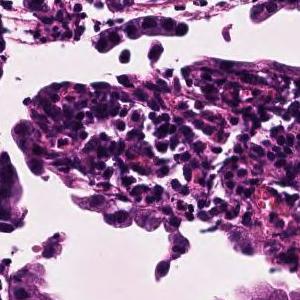
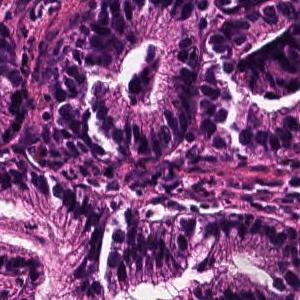
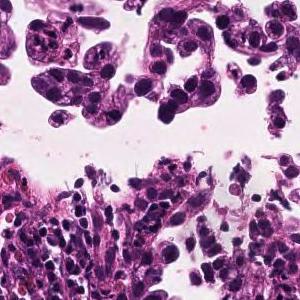
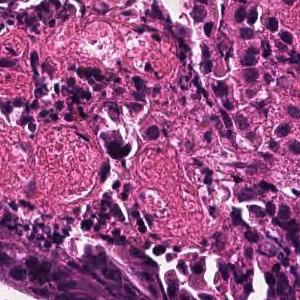
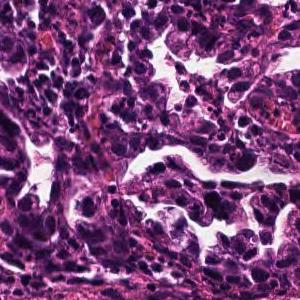
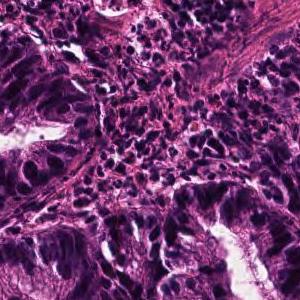
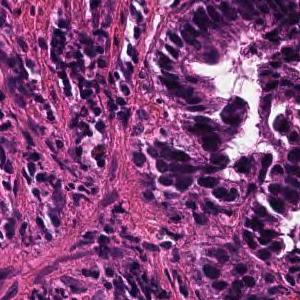
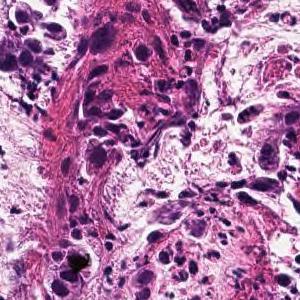
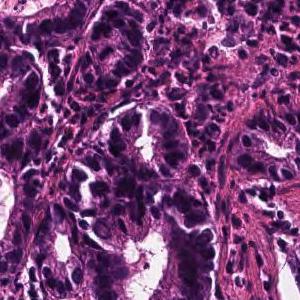
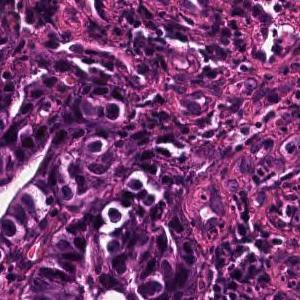
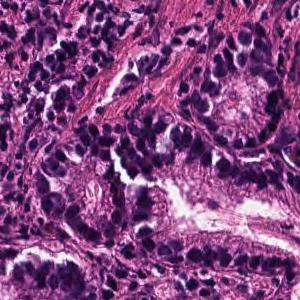
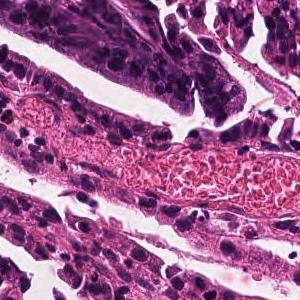
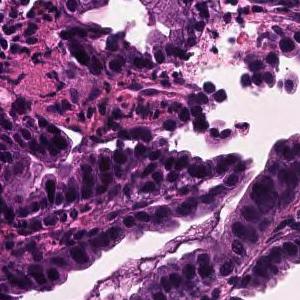
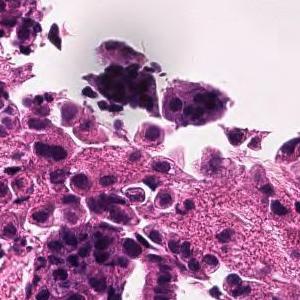
H&E, ×20, 14 image tiles from a single gastric biopsy slide, each 300 × 300 pixels.
Pathology report for the biopsy slide these tiles were cut from. The report and the diagnosis cover the entire slide, so not every feature they name need be visible here, and some tissue shown may not be tumor.
Tumor tissue consisting of large papillary structures is found in the superficial epithelium. Papillary adenocarcinoma.
